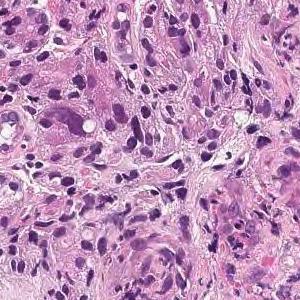
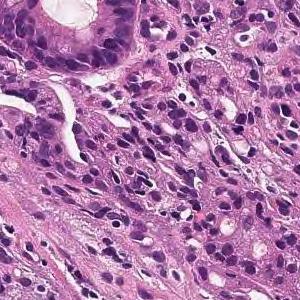
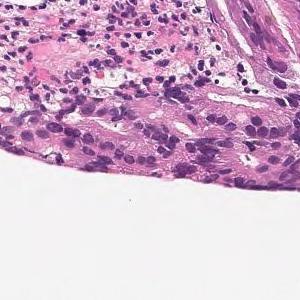
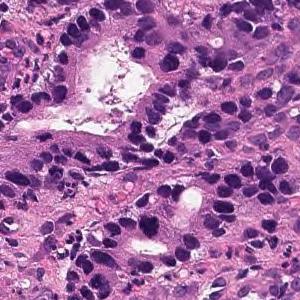
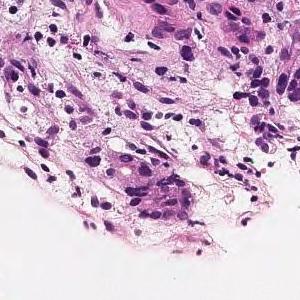
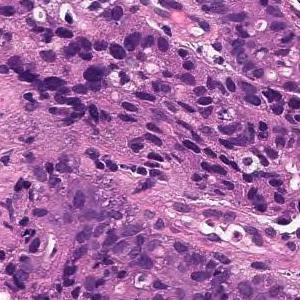
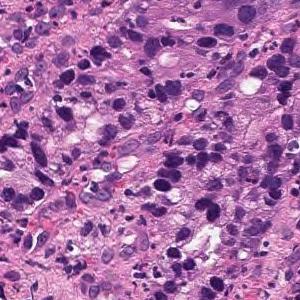
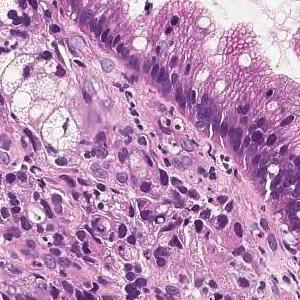
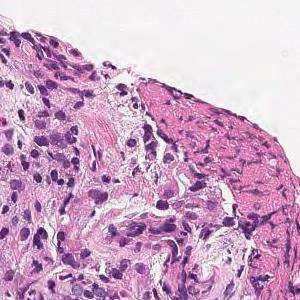
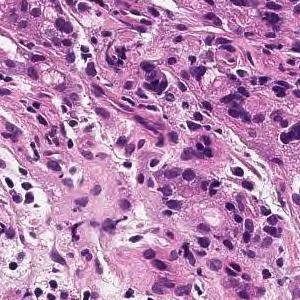
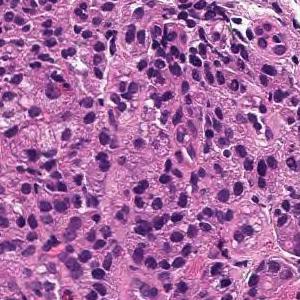
H&E; 11 image tiles from a single gastric biopsy slide.
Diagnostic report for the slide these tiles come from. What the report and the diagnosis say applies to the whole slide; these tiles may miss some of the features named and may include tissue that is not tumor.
In the superficial epithelium, medium to small irregular gland ducts are formed, and in some cases, the ducts are fused to show solid alveolar lesions and infiltrating tumor tissue is observed. moderately differentiated tubular adenocarcinoma or poorly differentiated adenocarcinoma, solid-type (poorly differentiated adenocarcinoma, solid type)
The dataset labels this slide poorly differentiated adenocarcinoma, solid type, a category of the Japanese Classification of Gastric Carcinoma; in the WHO 2019 classification it is tubular adenocarcinoma, poorly differentiated.
